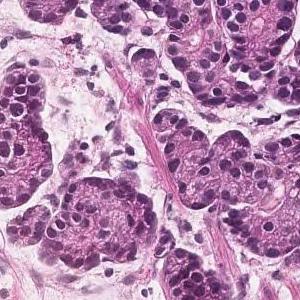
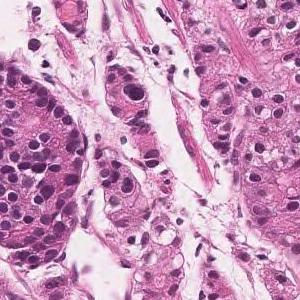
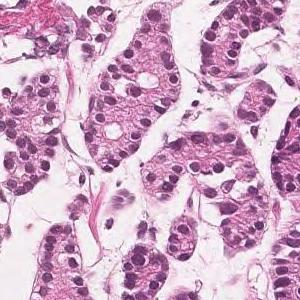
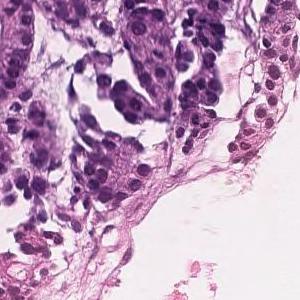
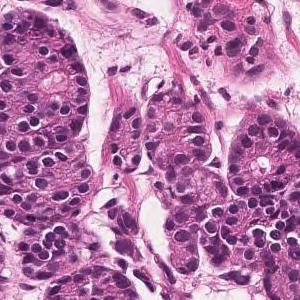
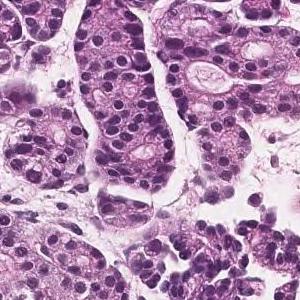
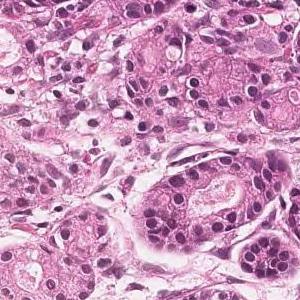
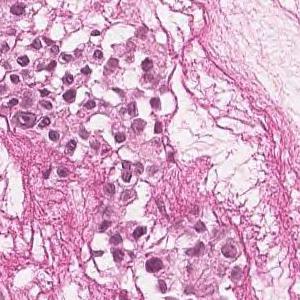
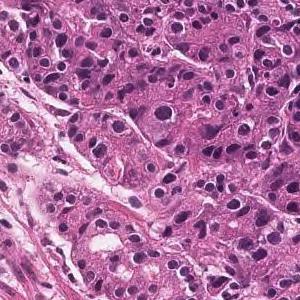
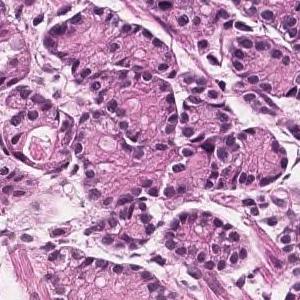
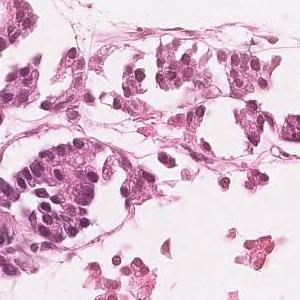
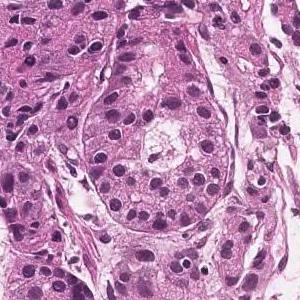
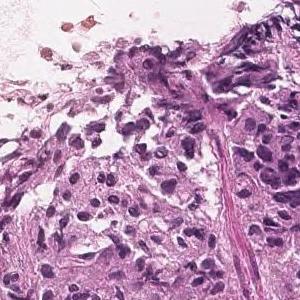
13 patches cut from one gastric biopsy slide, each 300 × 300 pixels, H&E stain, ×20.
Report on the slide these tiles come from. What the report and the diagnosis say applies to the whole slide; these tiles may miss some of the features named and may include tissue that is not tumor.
In the superficial epithelium, tumor tissue that invades by forming medium-sized to small, irregular ducts is observed. Moderately differentiated adenocarcinoma.
Histological subtype: Moderately differentiated tubular adenocarcinoma.
